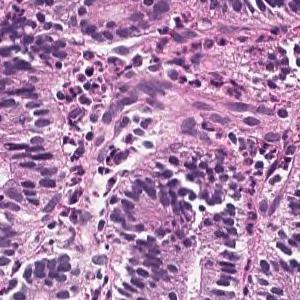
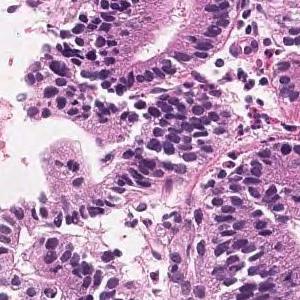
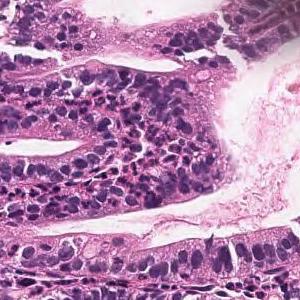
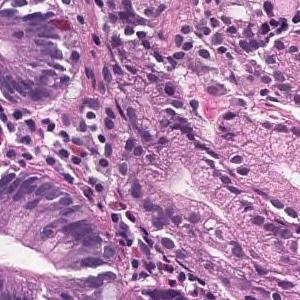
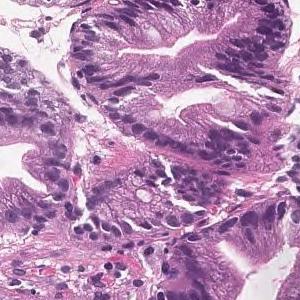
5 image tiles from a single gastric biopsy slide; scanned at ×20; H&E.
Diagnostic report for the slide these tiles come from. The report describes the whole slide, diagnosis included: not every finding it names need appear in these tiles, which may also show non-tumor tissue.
Tumor tissue in which medium to small irregular ducts infiltrate and proliferate in the submucosa can be seen in the epithelium. Well differentiated tubular adenocarcinoma
